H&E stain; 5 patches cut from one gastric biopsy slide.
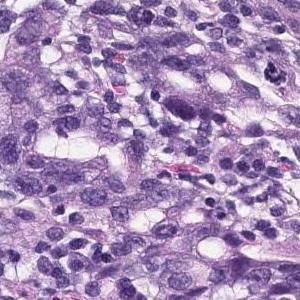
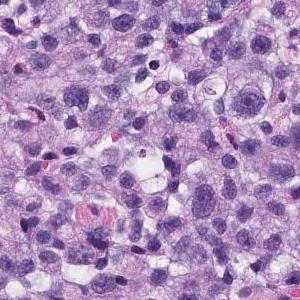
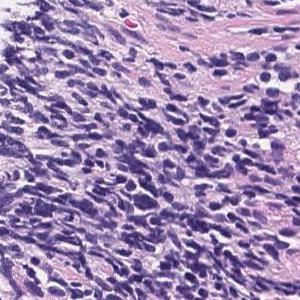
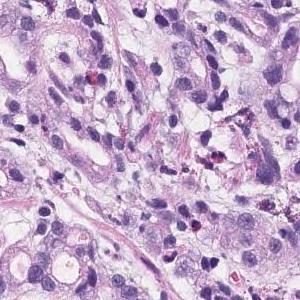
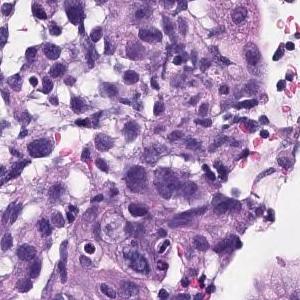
Pathology report for the slide these tiles were cut from. The report and the diagnosis describe the slide as a whole, so these tiles may not show every feature named and may include non-tumor tissue.
There are atypical l cells with atypical nuclei forming cord-like or irregular atypical ducts from solidity and proliferating in a comprehensive manner. Poorly differentiated adenocarcinoma, Moderately differentiated adenocarcinoma (poorly differentiated adenocarcinoma, solid type moderately differentiated tubular adenocarcinoma)
Histological subtype: Moderately to poorly differentiated adenocarcinoma.
The term "solid type" comes from the Japanese Classification of Gastric Carcinoma; the WHO 2019 equivalent is tubular adenocarcinoma, poorly differentiated.
